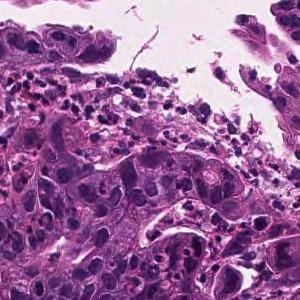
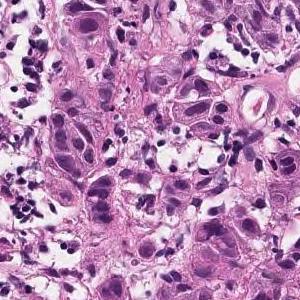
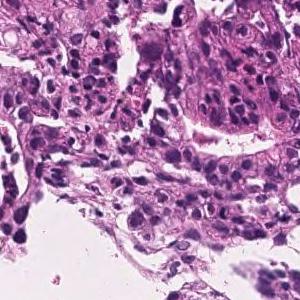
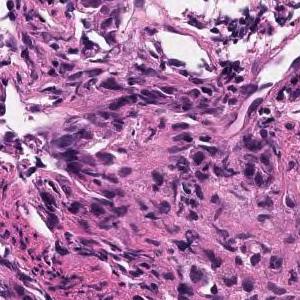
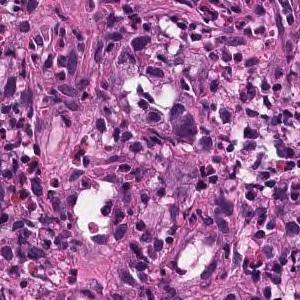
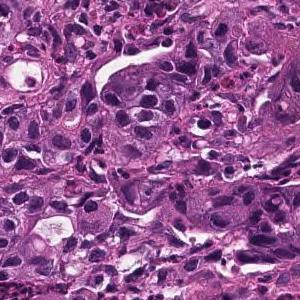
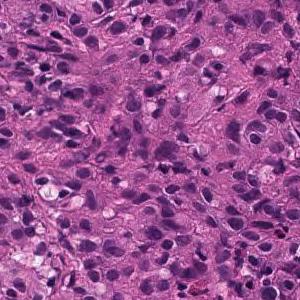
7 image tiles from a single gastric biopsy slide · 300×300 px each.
Report on the slide these tiles come from. The report describes the whole slide, diagnosis included: not every finding it names need appear in these tiles, which may also show non-tumor tissue.
Tumor tissue consisting of medium-sized, cord-like or irregular glandular infiltration is observed in the superficial epithelium. Poorly differentiated adenocarcinoma, non-solid type or moderately differentiated tubular adenocarcinoma
The non-solid type named here is a Japanese Classification of Gastric Carcinoma category.
